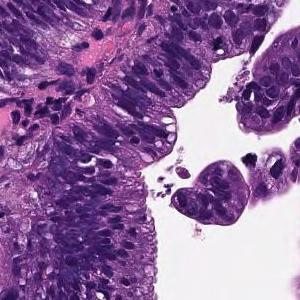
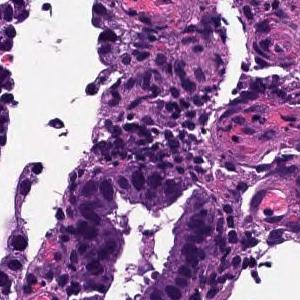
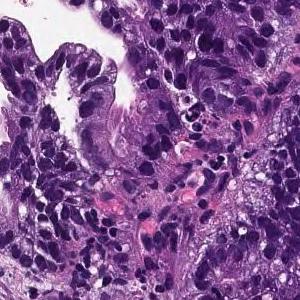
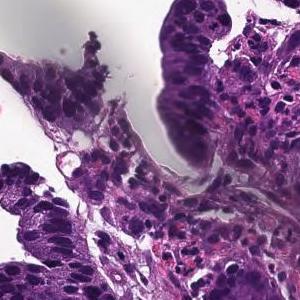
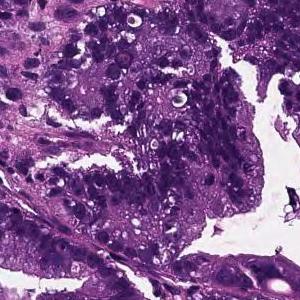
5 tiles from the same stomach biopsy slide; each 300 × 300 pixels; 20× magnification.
The pathologist's report on the biopsy slide these tiles were taken from. Both the report and the diagnosis are for the whole slide: these tiles need not show every feature named, and some of the tissue shown may not be tumor.
Tumor cells are large, highly columnar, large club-shaped nuclei, and are associated with chromatin aggregation. Papillary adenocarcinoma.
